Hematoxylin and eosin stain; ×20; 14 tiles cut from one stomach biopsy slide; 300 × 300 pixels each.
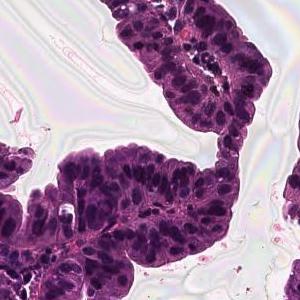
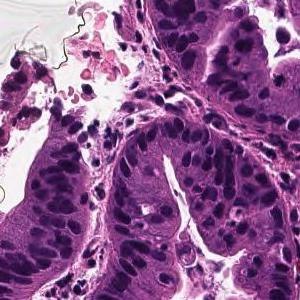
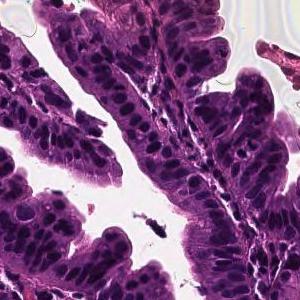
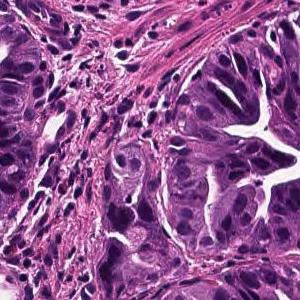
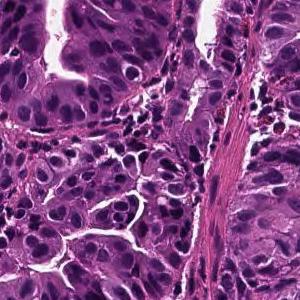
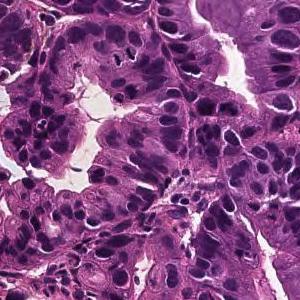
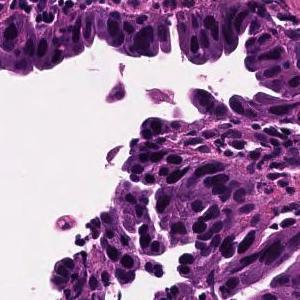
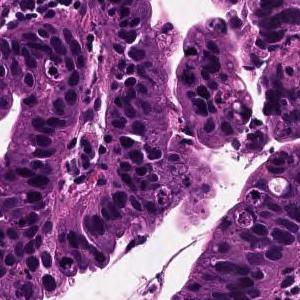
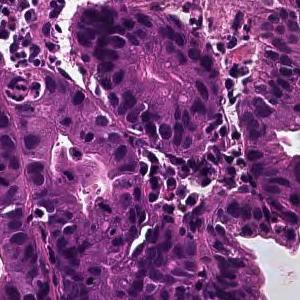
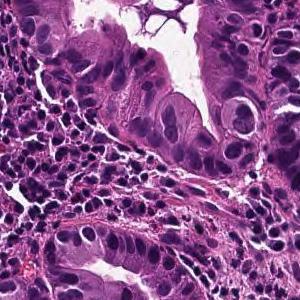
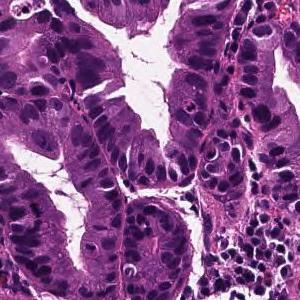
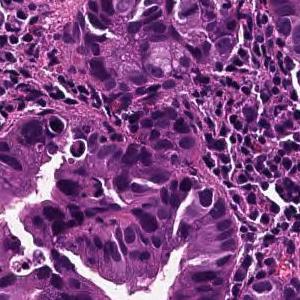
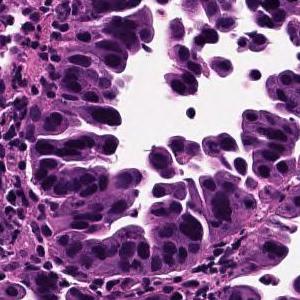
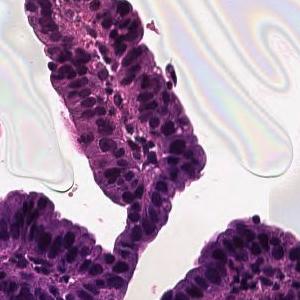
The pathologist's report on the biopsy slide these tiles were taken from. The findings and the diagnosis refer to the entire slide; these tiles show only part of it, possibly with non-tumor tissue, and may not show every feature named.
Tumor cells are large, highly columnar, large club-shaped nuclei, and are associated with chromatin aggregation. Papillary adenocarcinoma.
